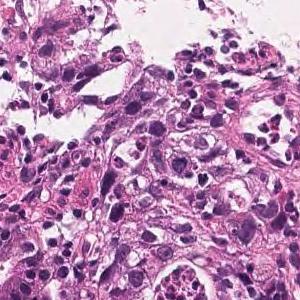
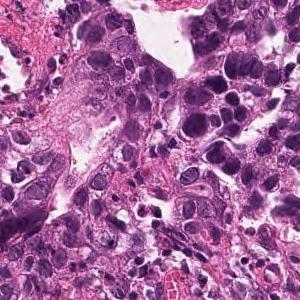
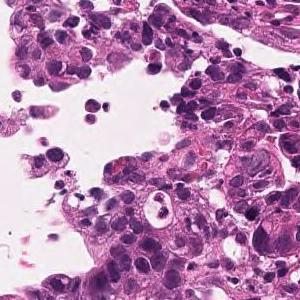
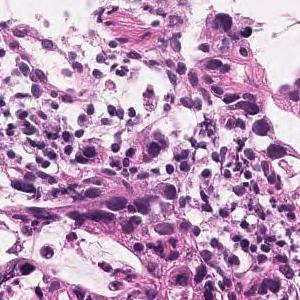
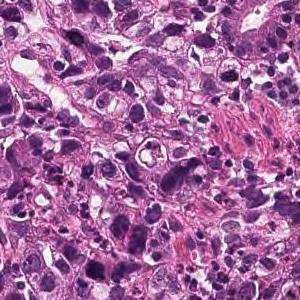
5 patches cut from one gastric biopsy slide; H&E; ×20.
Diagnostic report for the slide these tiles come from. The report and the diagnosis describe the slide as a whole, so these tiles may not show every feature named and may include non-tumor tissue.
In the superficial epithelium, tumor tissue that invades by forming medium-sized to small, irregular ducts is observed. Moderately differentiated adenocarcinoma.
Histological subtype: Moderately differentiated tubular adenocarcinoma.
